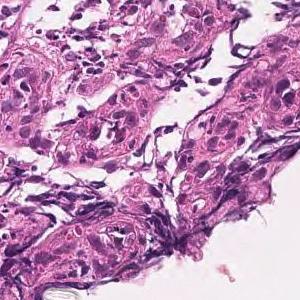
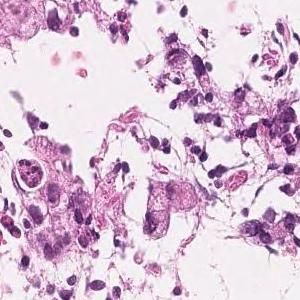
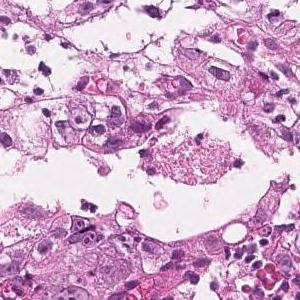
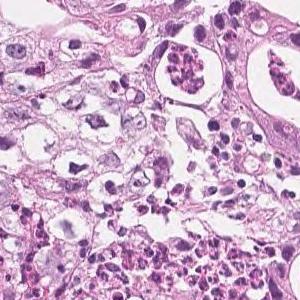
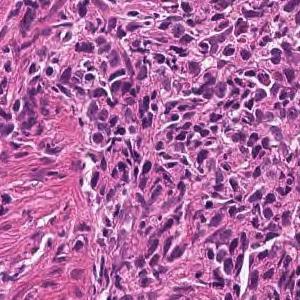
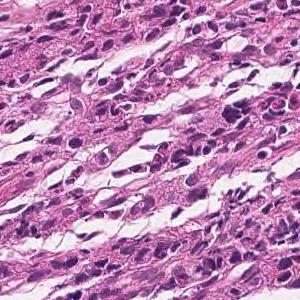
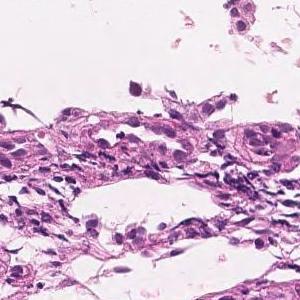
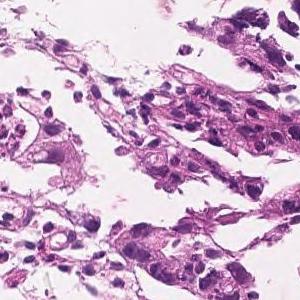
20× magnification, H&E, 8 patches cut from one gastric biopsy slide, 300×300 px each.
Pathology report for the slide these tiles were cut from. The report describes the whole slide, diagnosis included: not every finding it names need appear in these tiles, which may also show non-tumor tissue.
In the superficial epithelium, medium to small, irregular glandular ducts are formed, and in some parts, the glandular ducts are fused, and in other parts, small cord-like infiltrating tumor tissue is observed. Moderately to poorly differentiated adenocarcinoma.
